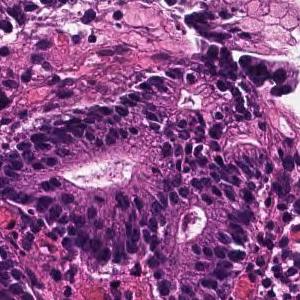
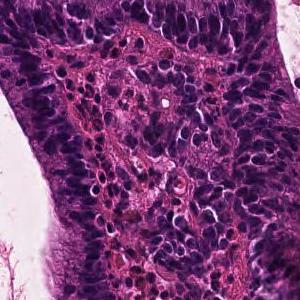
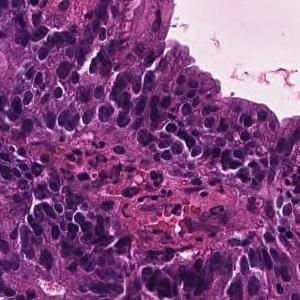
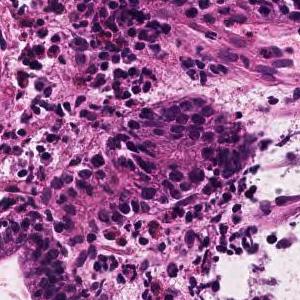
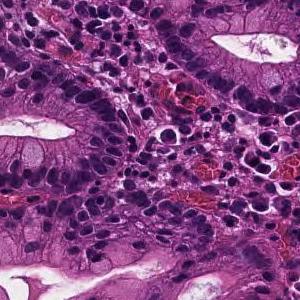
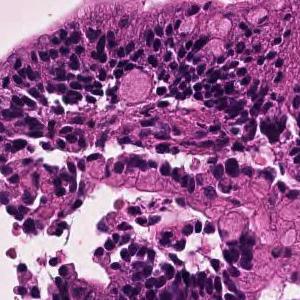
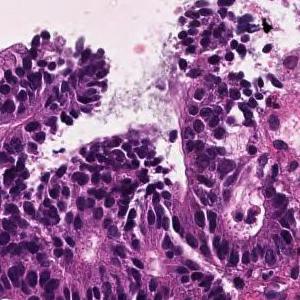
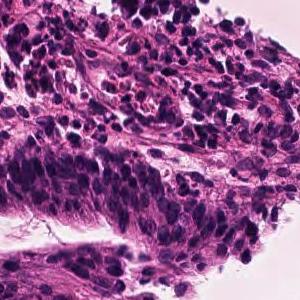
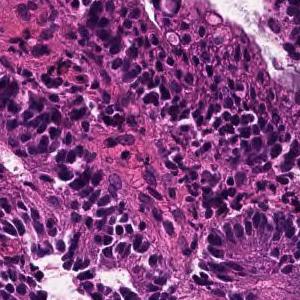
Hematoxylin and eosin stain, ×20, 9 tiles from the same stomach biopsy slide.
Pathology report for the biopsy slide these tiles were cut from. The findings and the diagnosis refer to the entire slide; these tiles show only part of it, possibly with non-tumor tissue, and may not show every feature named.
In the superficial epithelium, tumor tissue that invades by forming medium-sized to small, irregular ducts is observed. moderately differentiated tubular adenocarcinoma.
